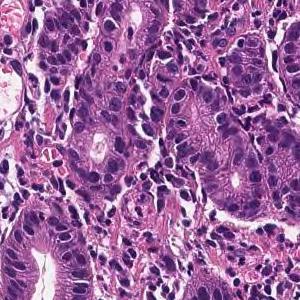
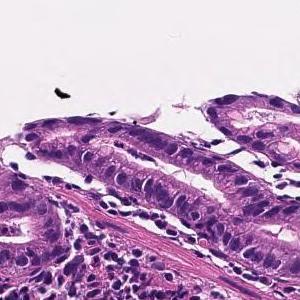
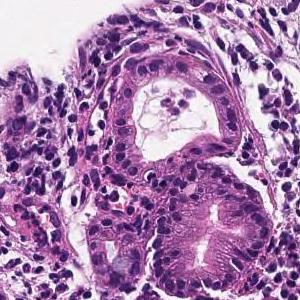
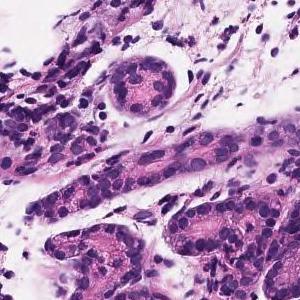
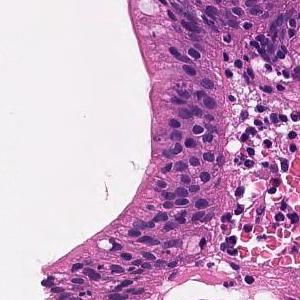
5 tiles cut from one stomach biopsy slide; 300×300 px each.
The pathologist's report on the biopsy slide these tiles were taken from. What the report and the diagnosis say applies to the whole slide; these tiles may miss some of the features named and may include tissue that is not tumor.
Tumor tissue infiltrated and proliferated with small to medium-sized irregular tubules is observed in the superficial epithelium. Well differentiated tubular adenocarcinoma
